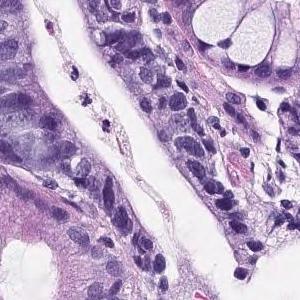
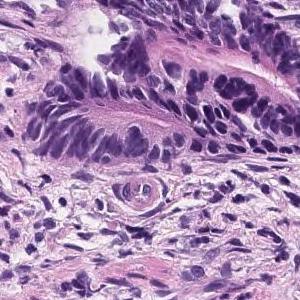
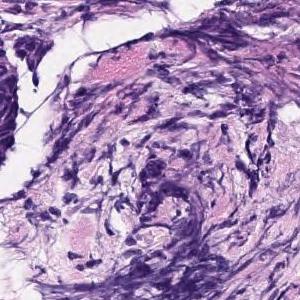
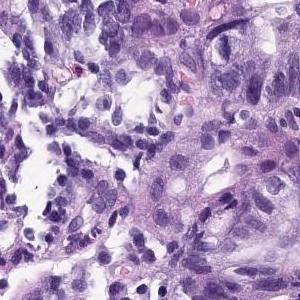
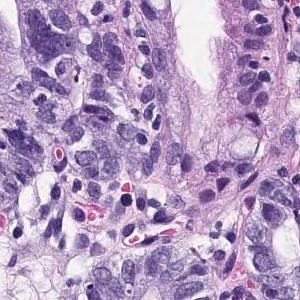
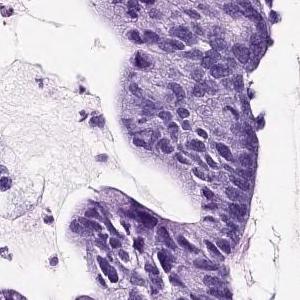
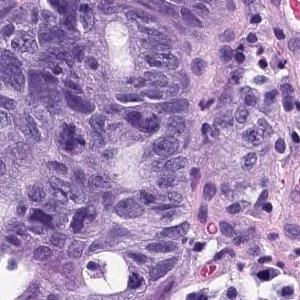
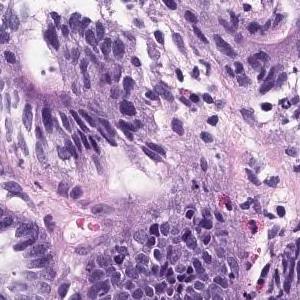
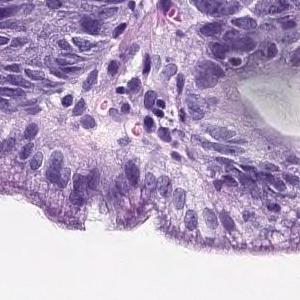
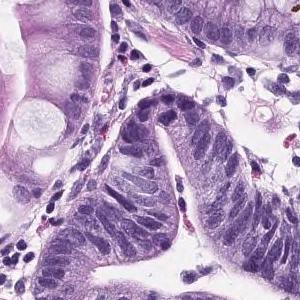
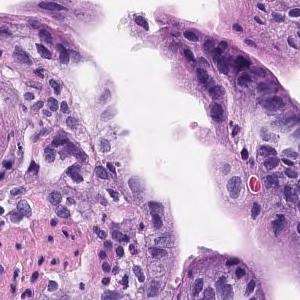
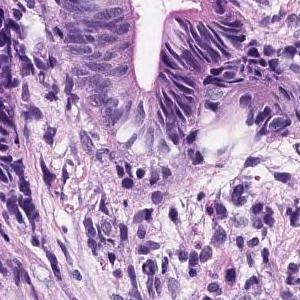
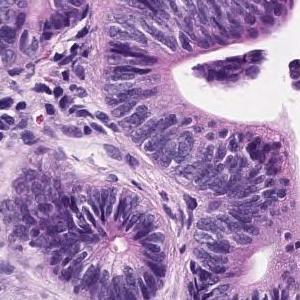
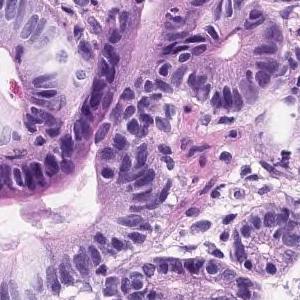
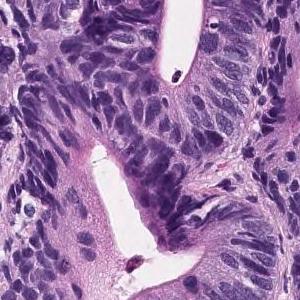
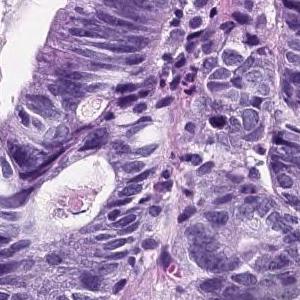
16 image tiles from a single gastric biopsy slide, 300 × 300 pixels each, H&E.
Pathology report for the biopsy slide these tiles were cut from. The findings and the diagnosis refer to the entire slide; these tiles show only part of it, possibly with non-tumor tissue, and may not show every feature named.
On the superficial epithelium, tumor tissue consisting of medium-sized to large-sized, round or irregular glandular duct growth images is observed. Well differentiated adenocarcinoma.
Classified as well differentiated tubular adenocarcinoma.
